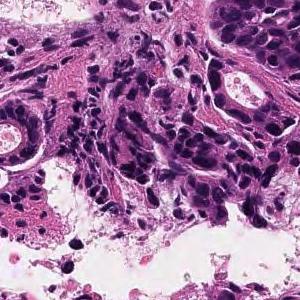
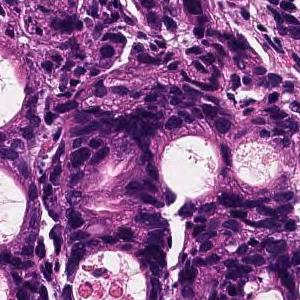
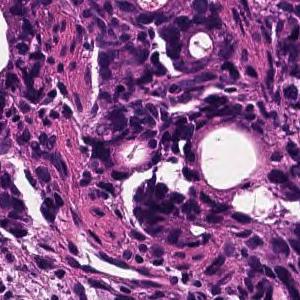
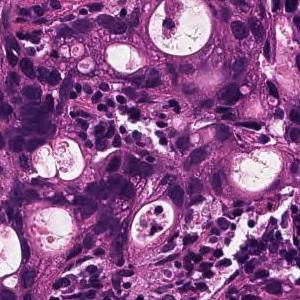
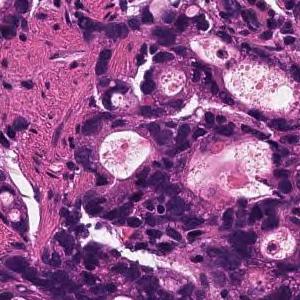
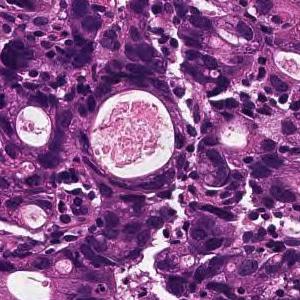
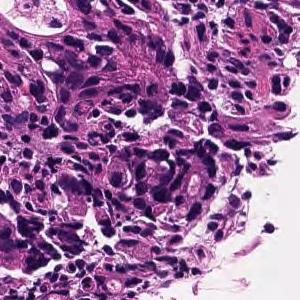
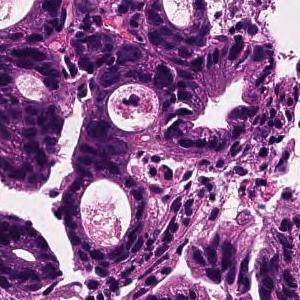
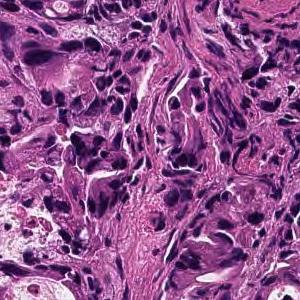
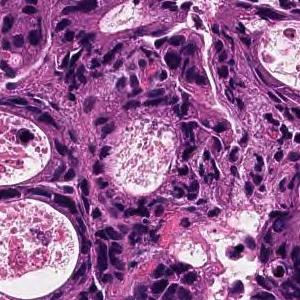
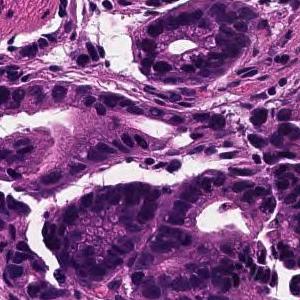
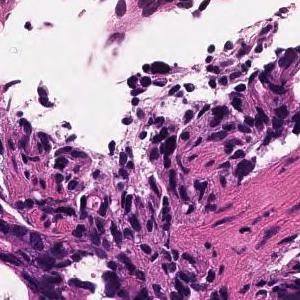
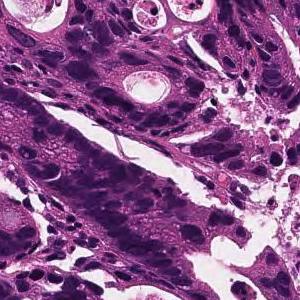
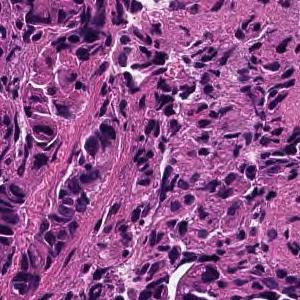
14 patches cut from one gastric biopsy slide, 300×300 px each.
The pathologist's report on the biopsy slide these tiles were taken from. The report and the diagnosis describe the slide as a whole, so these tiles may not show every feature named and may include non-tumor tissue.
In the superficial epithelium, tumor tissue that invades by forming medium-sized to small, irregular ducts is observed. moderately differentiated tubular adenocarcinoma.
